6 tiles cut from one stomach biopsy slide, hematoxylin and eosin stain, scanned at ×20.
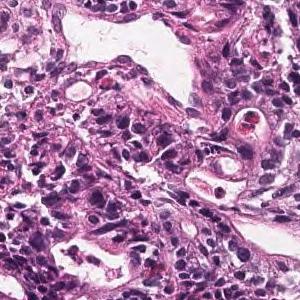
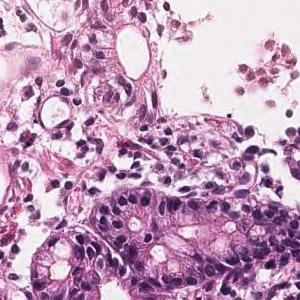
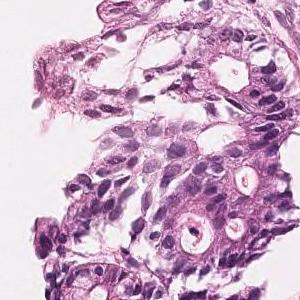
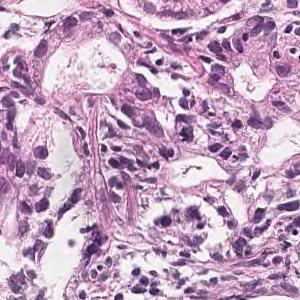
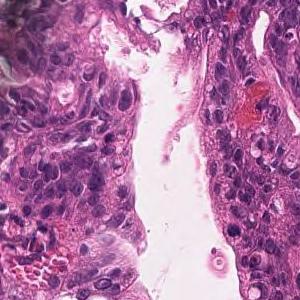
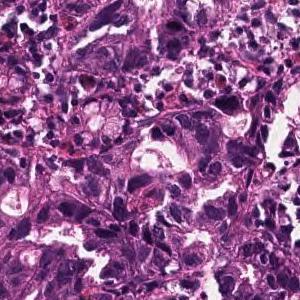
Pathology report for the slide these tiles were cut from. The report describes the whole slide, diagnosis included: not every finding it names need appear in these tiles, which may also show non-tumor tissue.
On the superficial epithelium, tumor tissue consisting of large, irregular glandular ducts partially fused and infiltrated is observed. Well to moderately differentiated tubular adenocarcinoma (well differentiated tubular adenocarcinoma, moderately differentiated tubular adenocarcinoma)
Histological subtype: Well to moderately differentiated tubular adenocarcinoma.
